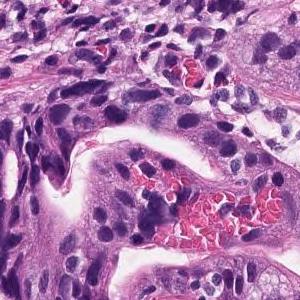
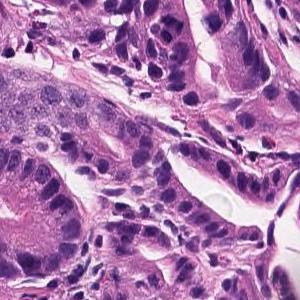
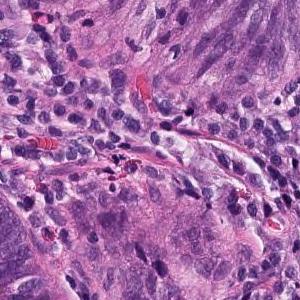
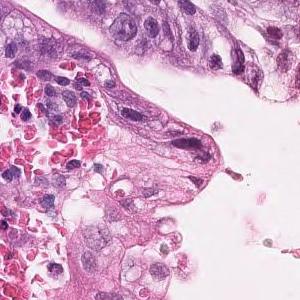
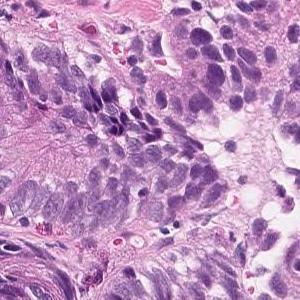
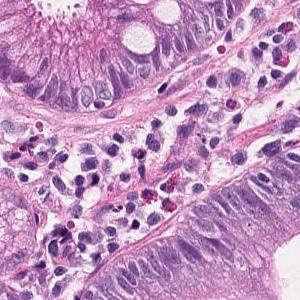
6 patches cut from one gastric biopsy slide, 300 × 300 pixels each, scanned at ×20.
Pathology report for the slide these tiles were cut from. The findings and the diagnosis refer to the entire slide; these tiles show only part of it, possibly with non-tumor tissue, and may not show every feature named.
Tumor cells are large, highly columnar, large club-shaped nuclei, and are associated with chromatin aggregation. Papillary adenocarcinoma.
